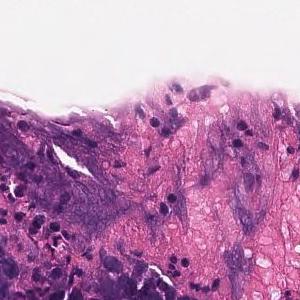
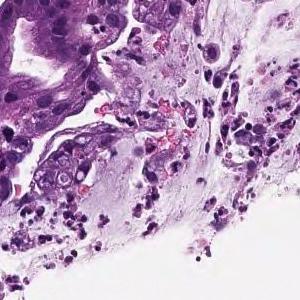
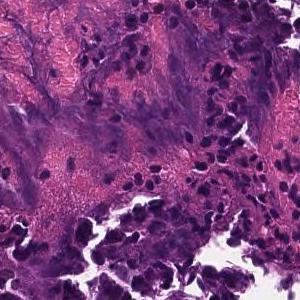
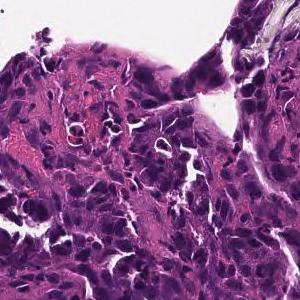
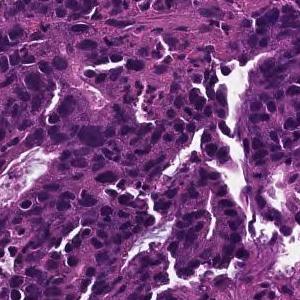
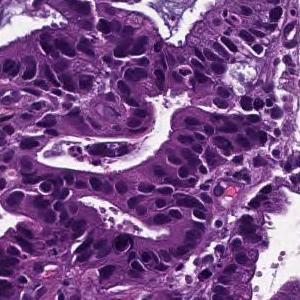
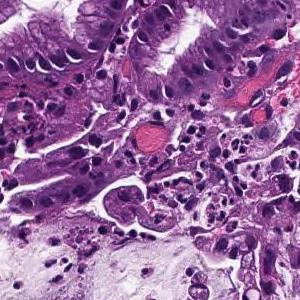
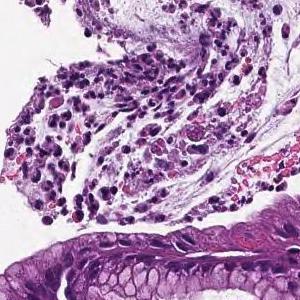
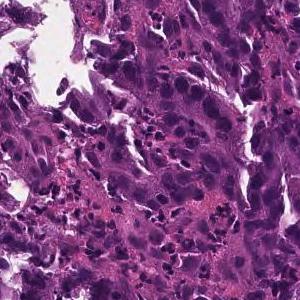
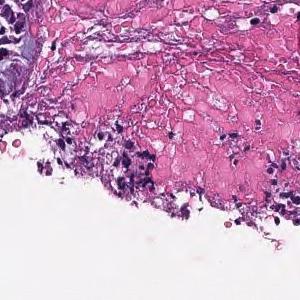
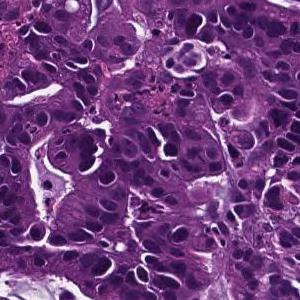
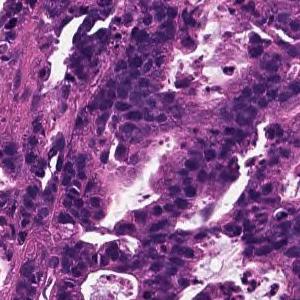
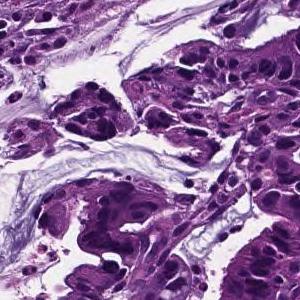
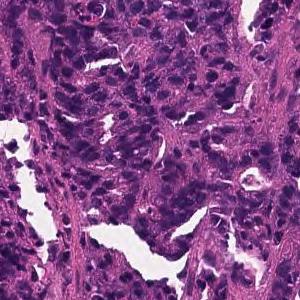
20× magnification · H&E stain · 14 patches cut from one gastric biopsy slide.
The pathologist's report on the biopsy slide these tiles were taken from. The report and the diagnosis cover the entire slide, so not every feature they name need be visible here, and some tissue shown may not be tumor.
On the superficial epithelium, tumor tissue consisting of large irregular glandular ducts partially fused and infiltrated is observed. Well to moderately differentiated tubular adenocarcinoma (well differentiated tubular adenocarcinoma, moderately differentiated tubular adenocarcinoma)
Histological subtype: Well to moderately differentiated tubular adenocarcinoma.
